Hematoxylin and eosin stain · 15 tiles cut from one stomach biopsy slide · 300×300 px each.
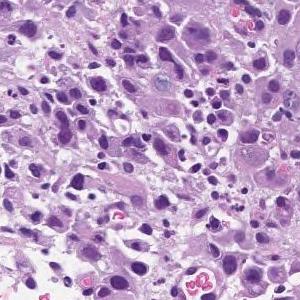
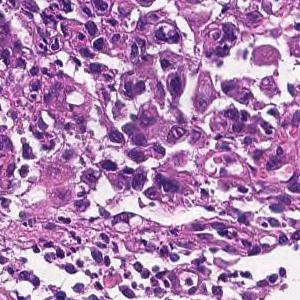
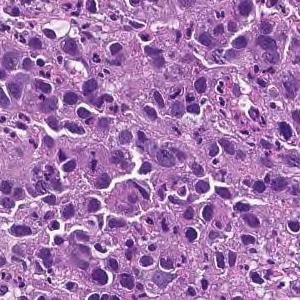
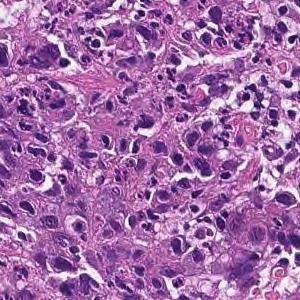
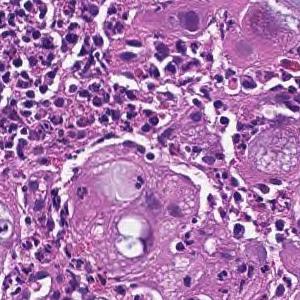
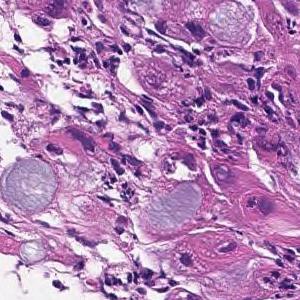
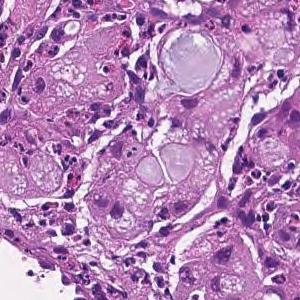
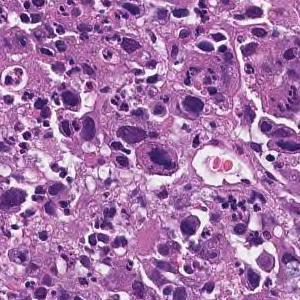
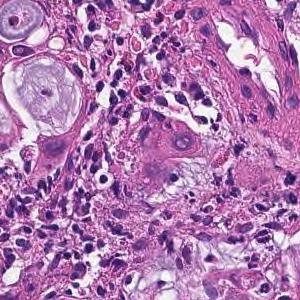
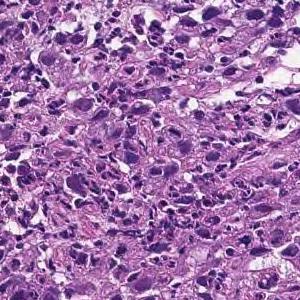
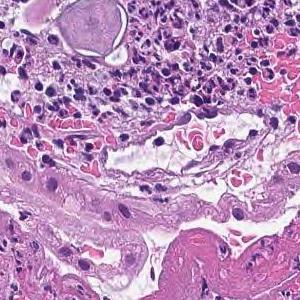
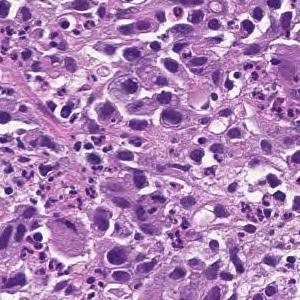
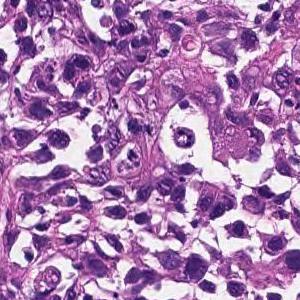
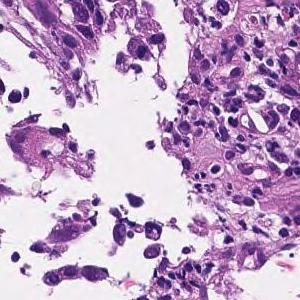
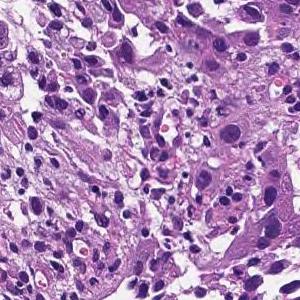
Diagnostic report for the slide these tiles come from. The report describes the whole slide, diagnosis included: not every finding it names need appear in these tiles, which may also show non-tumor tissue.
The superficial epithelium shows a large sheet-like shape, and some tumor tissue infiltrates with small irregular ducts. Poorly differentiated adenocarcinoma, solid-type
Classified as poorly differentiated adenocarcinoma, solid type (Japanese Classification of Gastric Carcinoma). The WHO 2019 equivalent is tubular adenocarcinoma, poorly differentiated.
